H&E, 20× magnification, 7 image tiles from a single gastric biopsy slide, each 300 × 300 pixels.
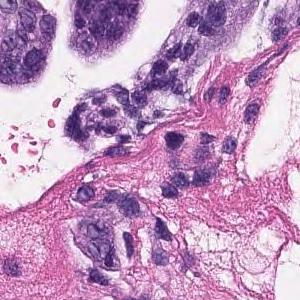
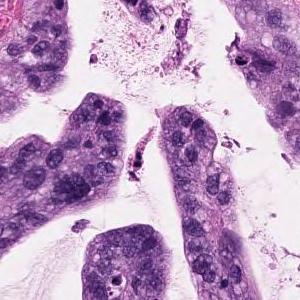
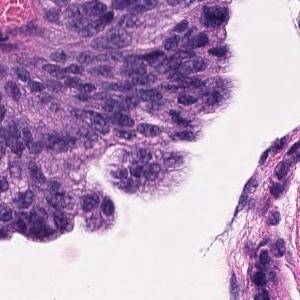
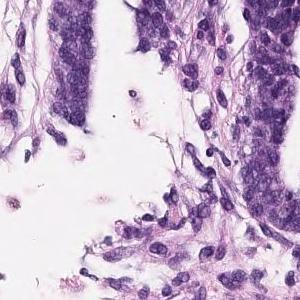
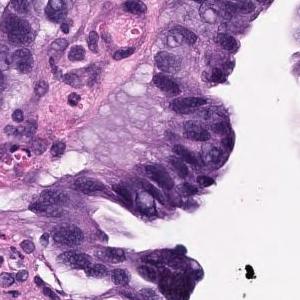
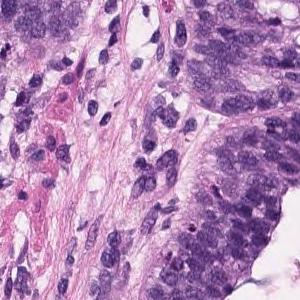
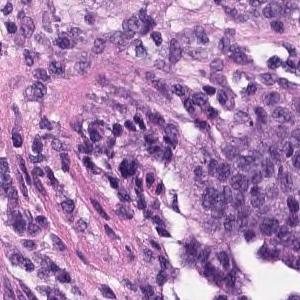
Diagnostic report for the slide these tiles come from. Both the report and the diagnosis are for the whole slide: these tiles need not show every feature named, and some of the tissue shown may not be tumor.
Tumor cells are large, highly columnar, large club-shaped nuclei, and are associated with chromatin aggregation. Papillary adenocarcinoma.
